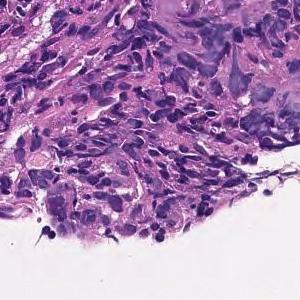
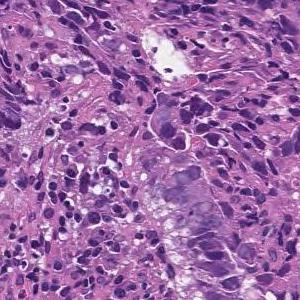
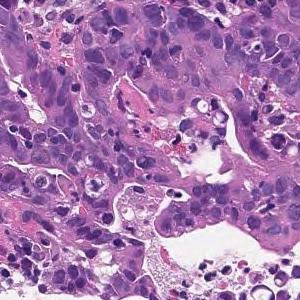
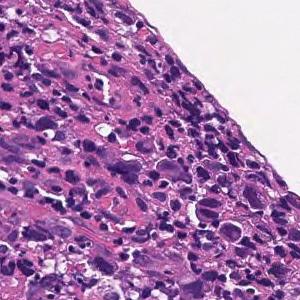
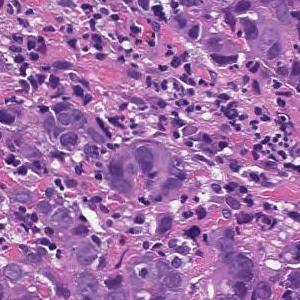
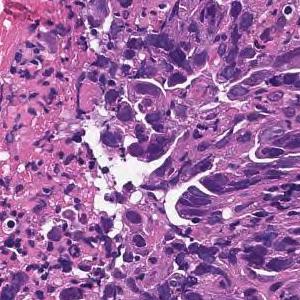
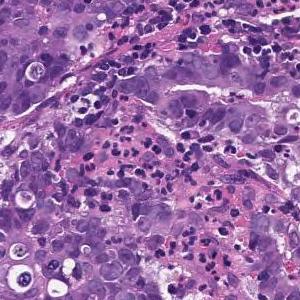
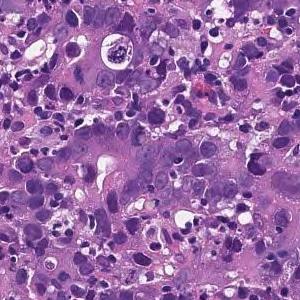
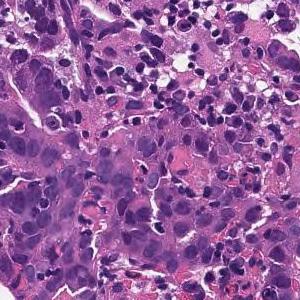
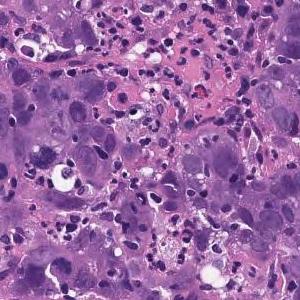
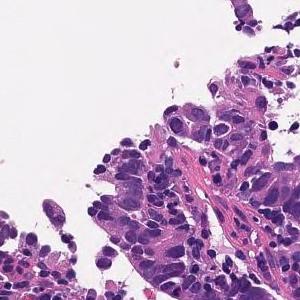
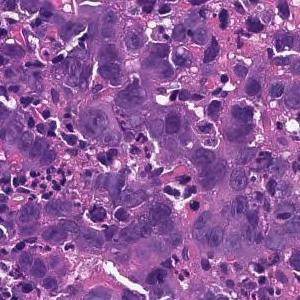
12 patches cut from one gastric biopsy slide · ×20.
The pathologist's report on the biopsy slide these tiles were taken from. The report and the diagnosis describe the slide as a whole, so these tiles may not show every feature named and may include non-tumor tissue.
Tumor tissue consisting of cord-like or small, irregular glandular ducts fused and infiltrated is observed in the superficial epithelium. Poorly differentiated adenocarcinoma, non-solid type
"Non-solid type" is a category of the Japanese Classification of Gastric Carcinoma.
